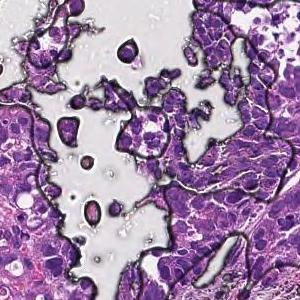
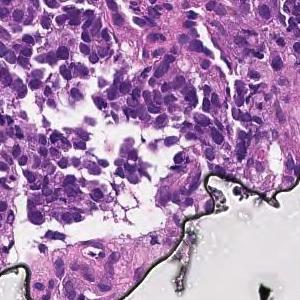
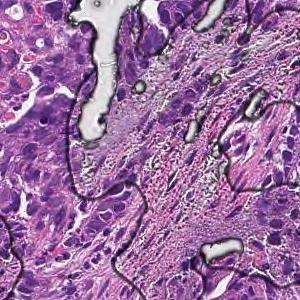
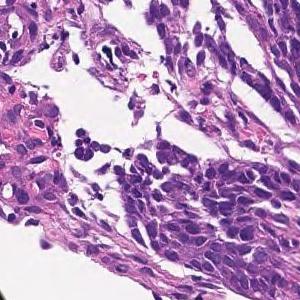
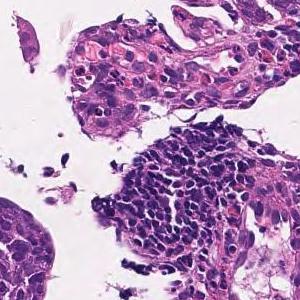
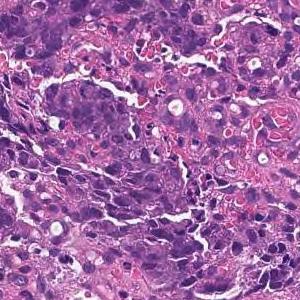
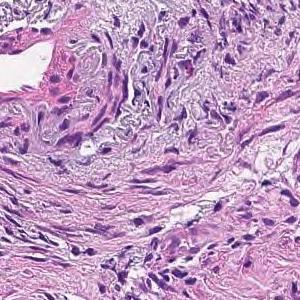
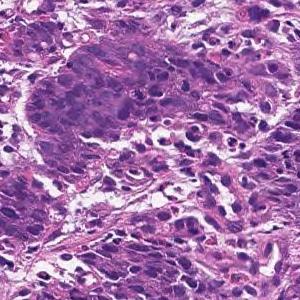
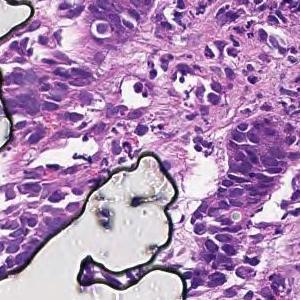
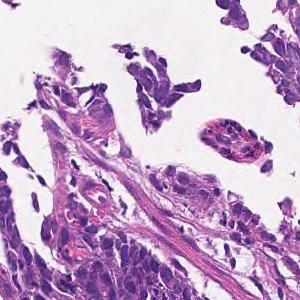
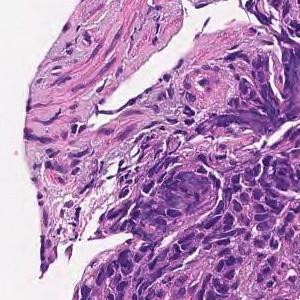
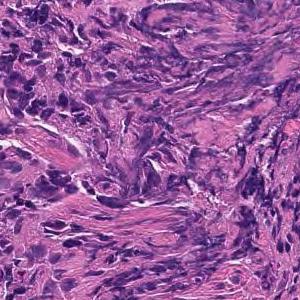
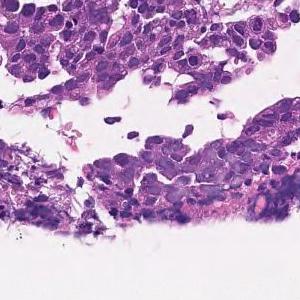
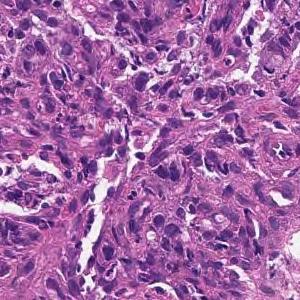
14 image tiles from a single gastric biopsy slide, 300×300 px each, 20× magnification.
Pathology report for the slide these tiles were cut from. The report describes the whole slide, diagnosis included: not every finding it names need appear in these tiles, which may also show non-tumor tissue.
Tumor tissue consisting of cord-like or small, irregular glandular ducts fused and infiltrated is observed in the superficial epithelium. Poorly differentiated adenocarcinoma, non-solid type
"Non-solid type" is a category of the Japanese Classification of Gastric Carcinoma.
